13 tiles from the same stomach biopsy slide; each 300 × 300 pixels; hematoxylin and eosin stain.
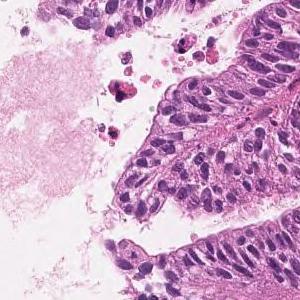
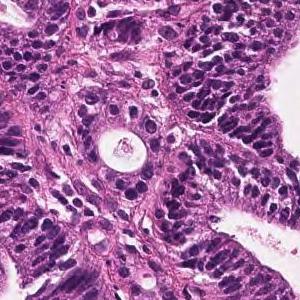
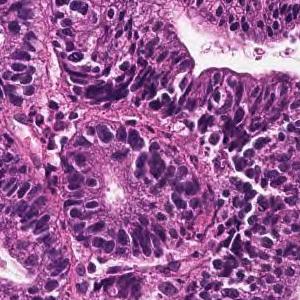
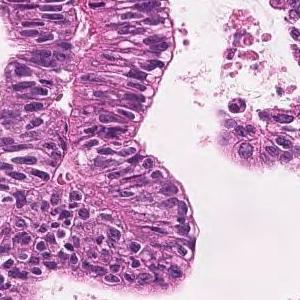
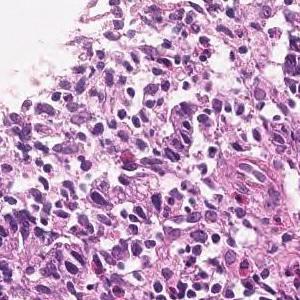
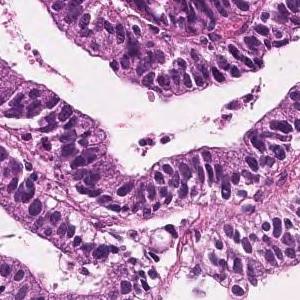
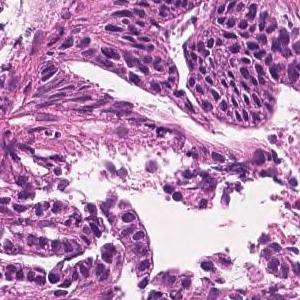
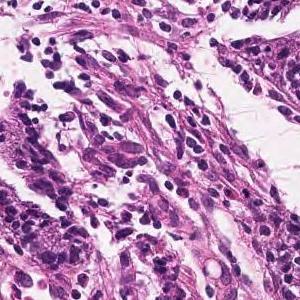
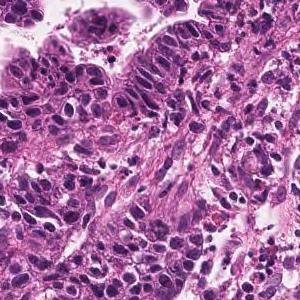
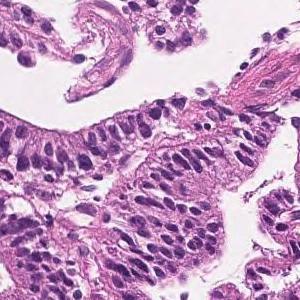
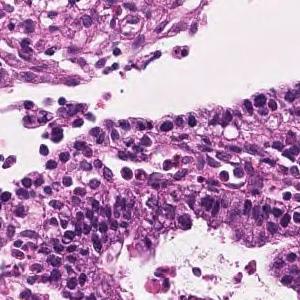
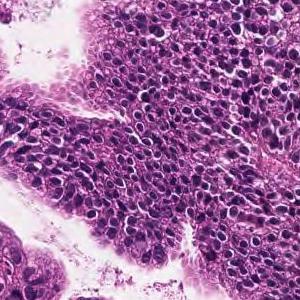
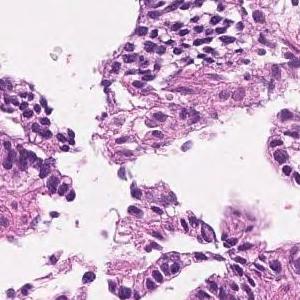
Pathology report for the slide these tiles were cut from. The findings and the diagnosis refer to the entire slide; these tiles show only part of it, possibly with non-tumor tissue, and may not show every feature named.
Tumor cells are large, highly columnar, large club-shaped nuclei, and are associated with chromatin aggregation. Papillary adenocarcinoma.
